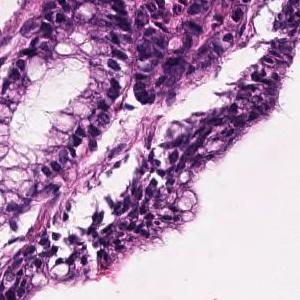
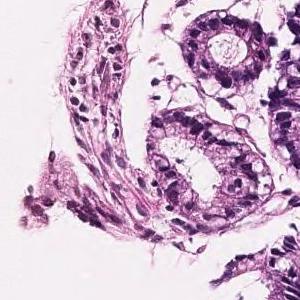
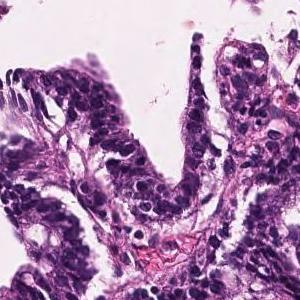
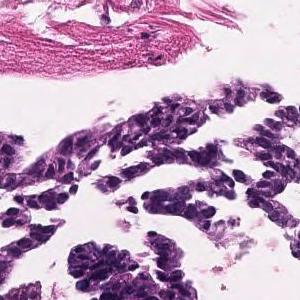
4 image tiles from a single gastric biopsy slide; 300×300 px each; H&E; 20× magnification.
Pathology report for the biopsy slide these tiles were cut from. What the report and the diagnosis say applies to the whole slide; these tiles may miss some of the features named and may include tissue that is not tumor.
Cubic to columnar atypical epithelial cells proliferating showing papillary to papillary ductal structures is observed. Papillary adenocarcinoma.
